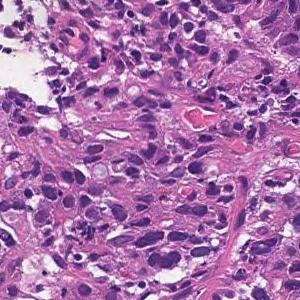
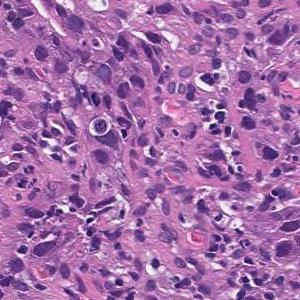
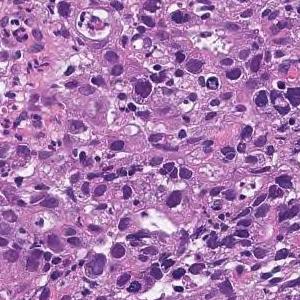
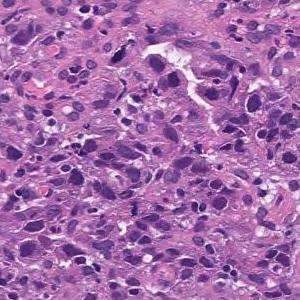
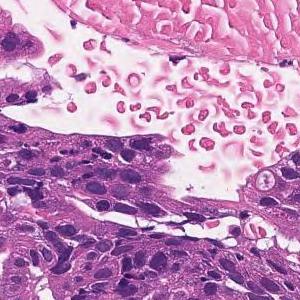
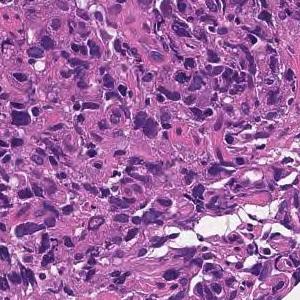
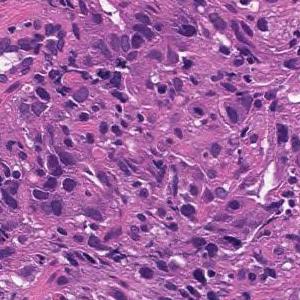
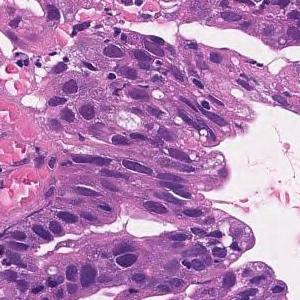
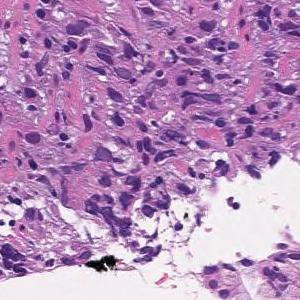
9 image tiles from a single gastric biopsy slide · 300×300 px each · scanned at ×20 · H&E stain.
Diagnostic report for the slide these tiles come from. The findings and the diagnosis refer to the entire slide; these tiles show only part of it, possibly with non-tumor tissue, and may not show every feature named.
In the superficial epithelium, tumor tissue that invades by forming medium-sized to small, irregular ducts is observed. moderately differentiated tubular adenocarcinoma.
